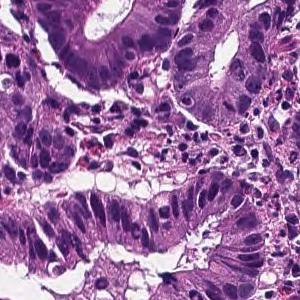
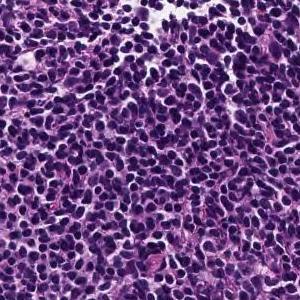
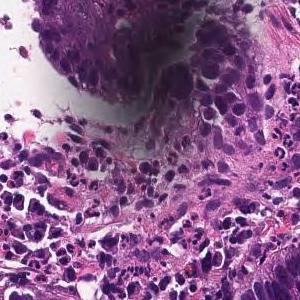
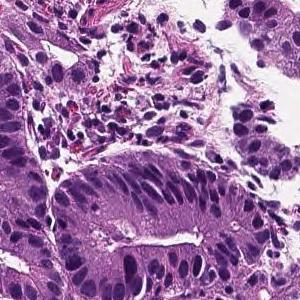
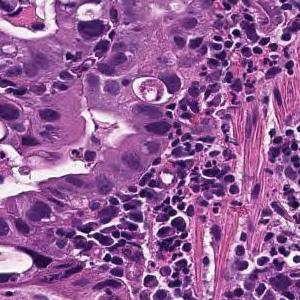
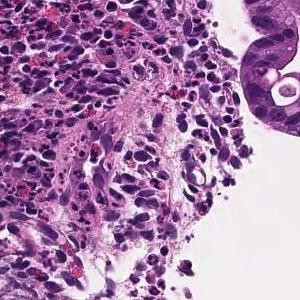
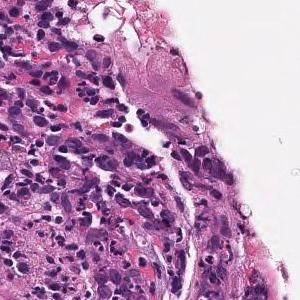
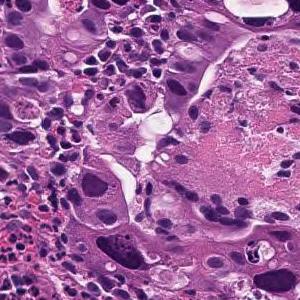
8 tiles cut from one stomach biopsy slide, H&E, ×20.
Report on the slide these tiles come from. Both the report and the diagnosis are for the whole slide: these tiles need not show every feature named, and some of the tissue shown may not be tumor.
From the superficial epithelium to the muscularis mucosae, tumor tissue consisting of medium-sized and irregular glandular ducts infiltrating is observed. Well differentiated tubular adenocarcinoma
